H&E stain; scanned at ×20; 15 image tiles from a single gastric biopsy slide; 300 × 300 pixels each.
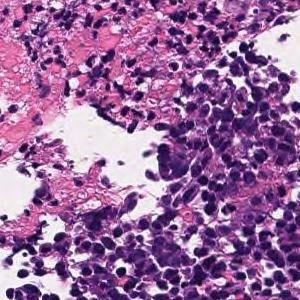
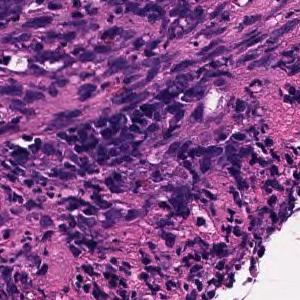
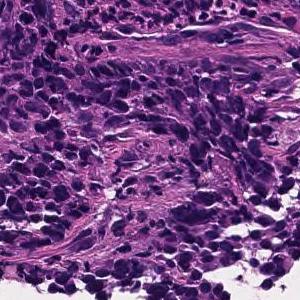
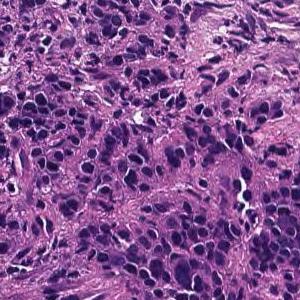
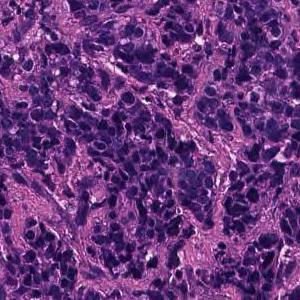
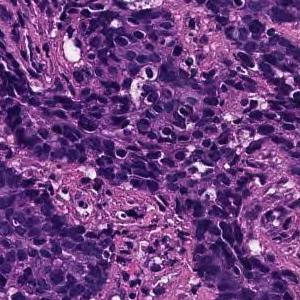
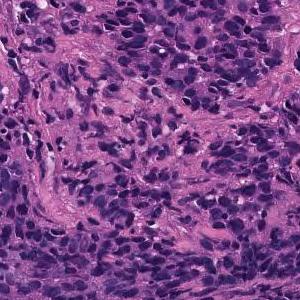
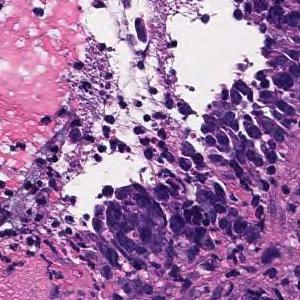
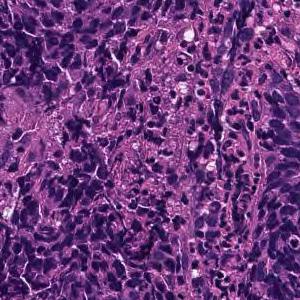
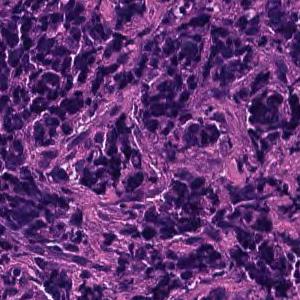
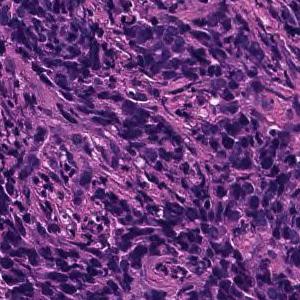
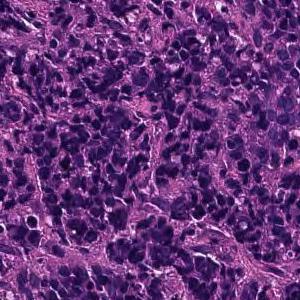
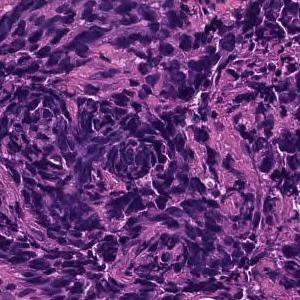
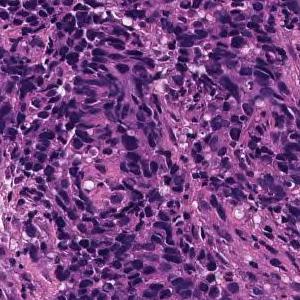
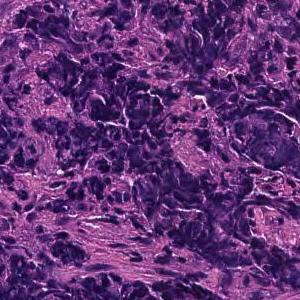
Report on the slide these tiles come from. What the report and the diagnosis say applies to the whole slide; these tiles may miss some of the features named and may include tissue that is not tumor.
Tumor tissue consisting of cord-like or small, irregular glandular ducts fused and infiltrated is observed in the superficial epithelium. Poorly differentiated adenocarcinoma, non-solid type
"Non-solid type" is a category of the Japanese Classification of Gastric Carcinoma.
